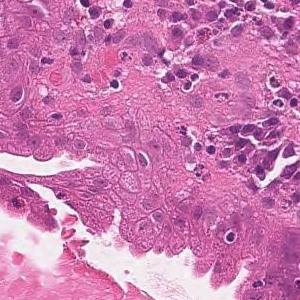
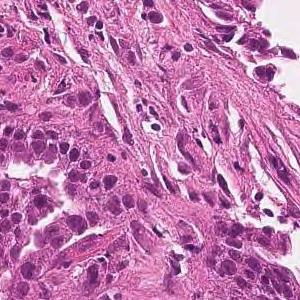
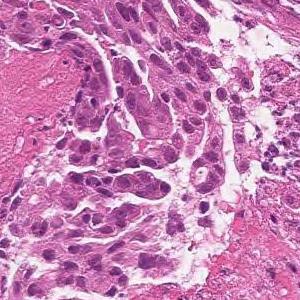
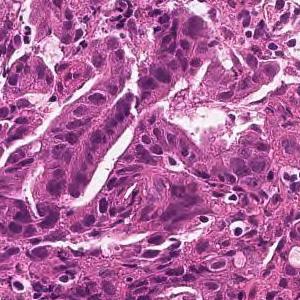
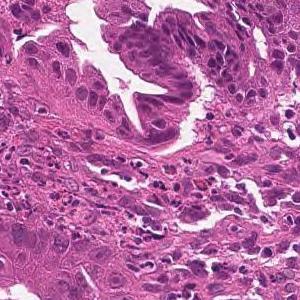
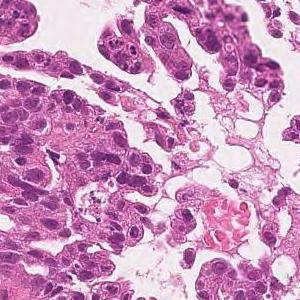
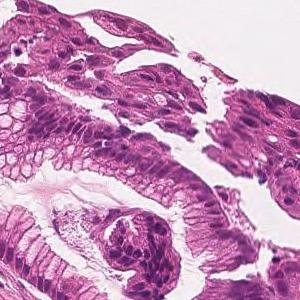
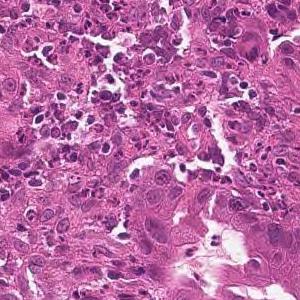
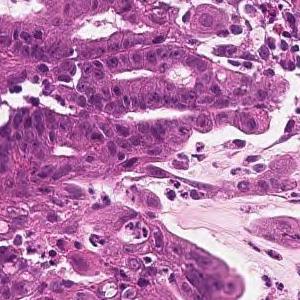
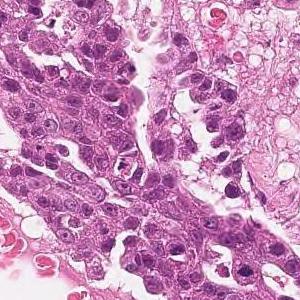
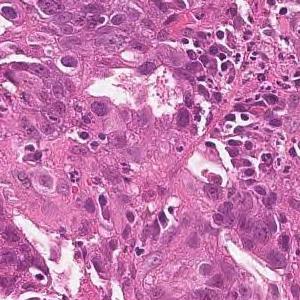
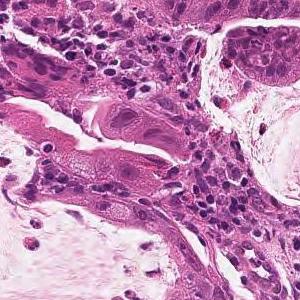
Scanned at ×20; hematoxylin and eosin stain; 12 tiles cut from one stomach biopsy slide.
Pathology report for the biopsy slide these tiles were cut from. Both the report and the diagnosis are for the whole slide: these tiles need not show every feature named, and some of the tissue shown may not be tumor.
Tumor tissue consisting of large papillary structures is found in the superficial epithelium. Papillary adenocarcinoma.
